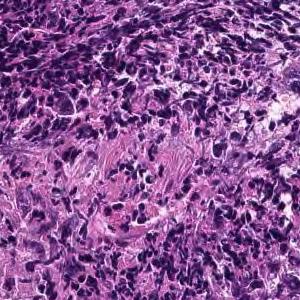
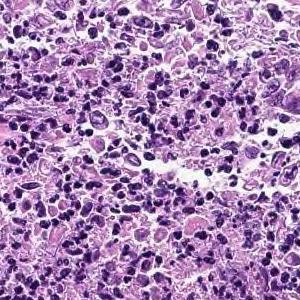
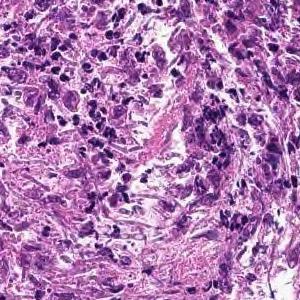
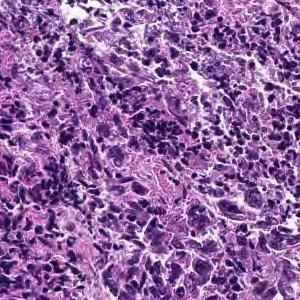
H&E, scanned at ×20, 4 tiles from the same stomach biopsy slide, 300 × 300 pixels each.
The pathologist's report on the biopsy slide these tiles were taken from. The report and the diagnosis describe the slide as a whole, so these tiles may not show every feature named and may include non-tumor tissue.
Cancers with polygonal nuclei do not show glandular formation and are densely, in part, cord-like and proliferate. Poorly differentiated adenocarcinoma
Tumor subtype: poorly differentiated adenocarcinoma, non-solid type.
"Non-solid type" is a category of the Japanese Classification of Gastric Carcinoma.
